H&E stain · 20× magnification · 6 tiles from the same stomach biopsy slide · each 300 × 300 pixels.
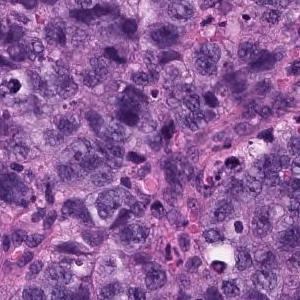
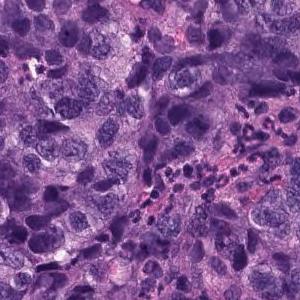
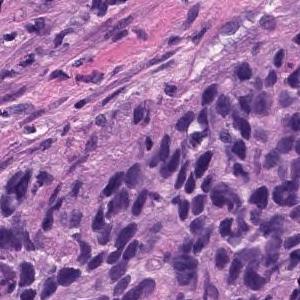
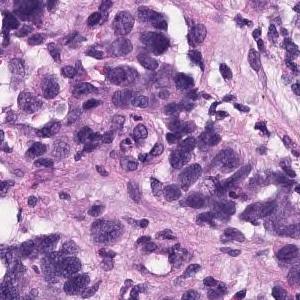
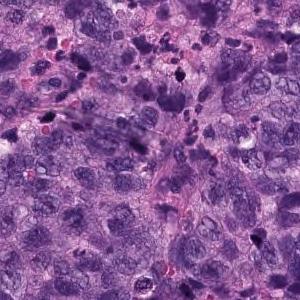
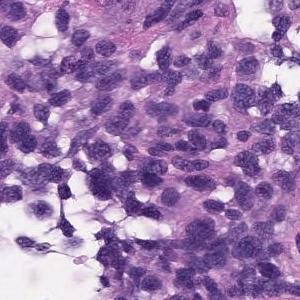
Pathology report for the slide these tiles were cut from. The report and the diagnosis describe the slide as a whole, so these tiles may not show every feature named and may include non-tumor tissue.
Atypical l cells with atypical nuclei under the mucosa growing in isolation and scattered. Poorly differentiated adenocarcinoma (poorly differentiated adenocarcinoma, non-solid type)
Subtype: Poorly differentiated adenocarcinoma, non-solid type.
"Non-solid type" is a category of the Japanese Classification of Gastric Carcinoma.
